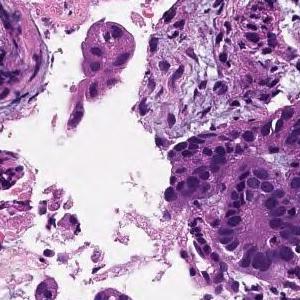
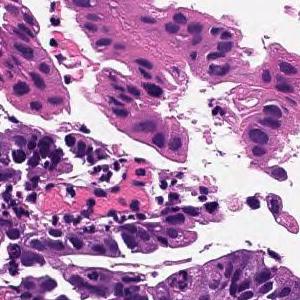
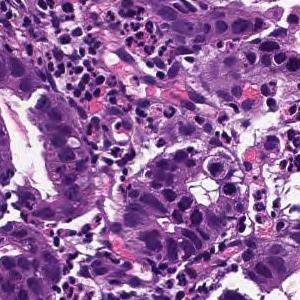
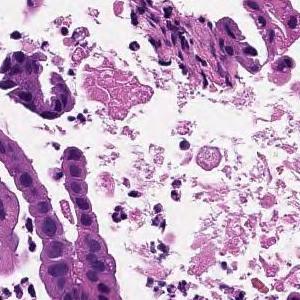
H&E stain · scanned at ×20 · 4 image tiles from a single gastric biopsy slide.
Pathology report for the biopsy slide these tiles were cut from. Both the report and the diagnosis are for the whole slide: these tiles need not show every feature named, and some of the tissue shown may not be tumor.
In the superficial epithelium, tumor tissue that invades by forming medium-sized to small, irregular ducts is observed. moderately differentiated tubular adenocarcinoma.
